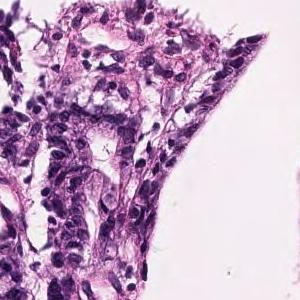
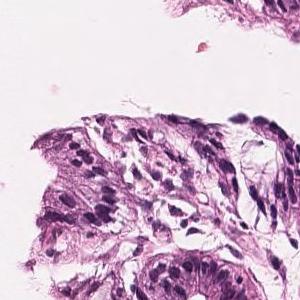
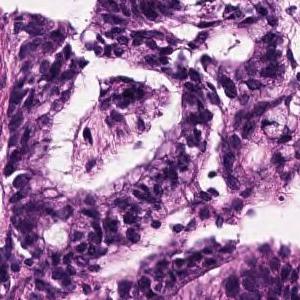
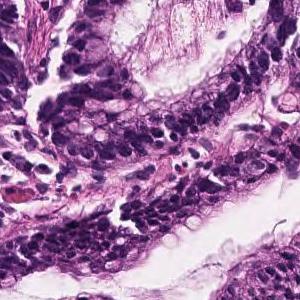
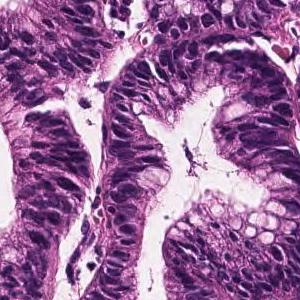
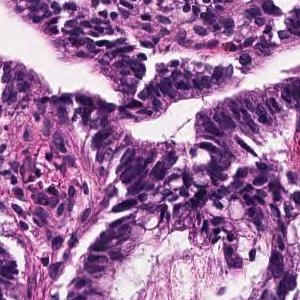
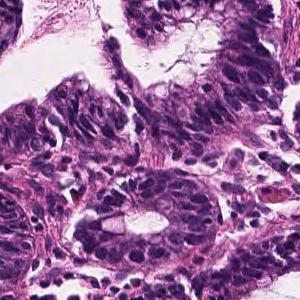
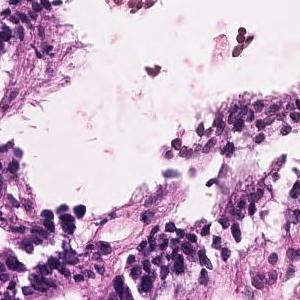
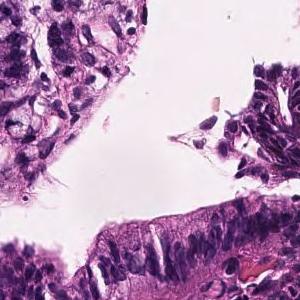
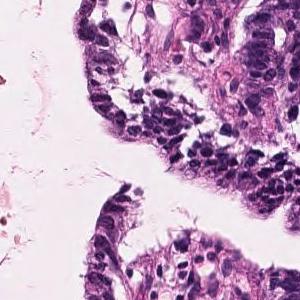
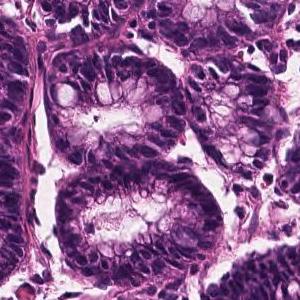
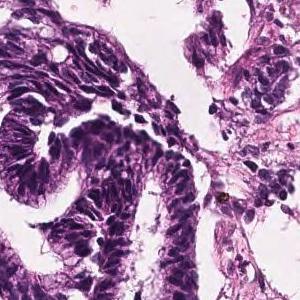
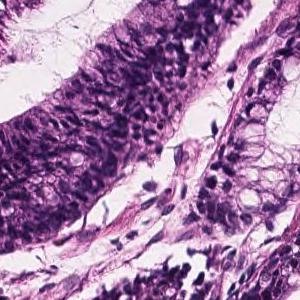
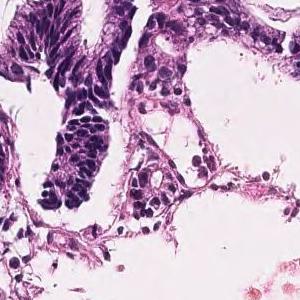
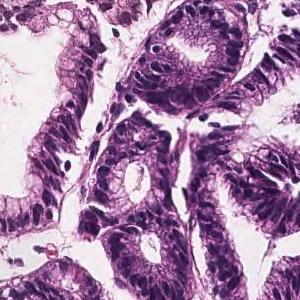
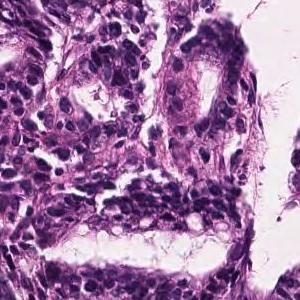
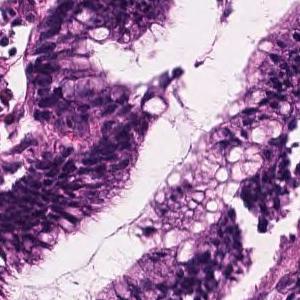
17 tiles cut from one stomach biopsy slide, 300×300 px each, hematoxylin and eosin stain.
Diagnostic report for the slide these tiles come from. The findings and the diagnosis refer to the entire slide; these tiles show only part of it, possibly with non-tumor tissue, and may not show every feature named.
Cubic to columnar atypical epithelial cells proliferating showing papillary to papillary ductal structures is observed. Papillary adenocarcinoma.
